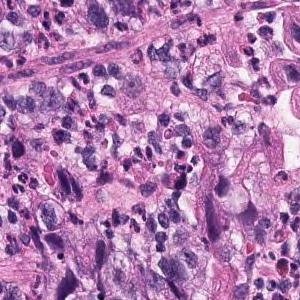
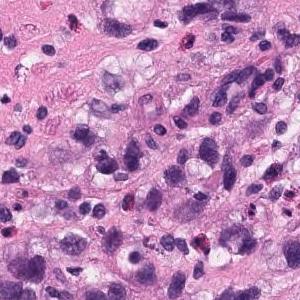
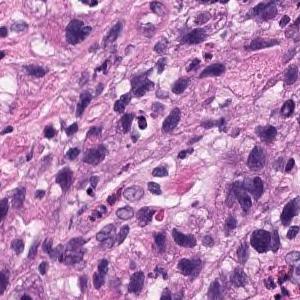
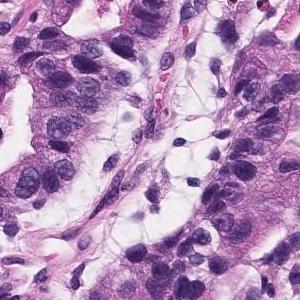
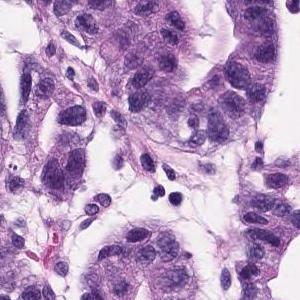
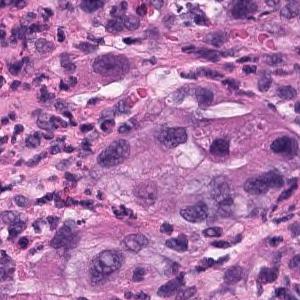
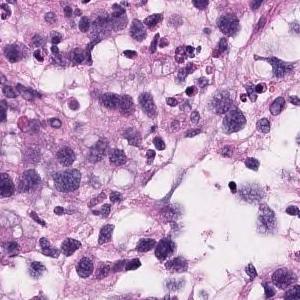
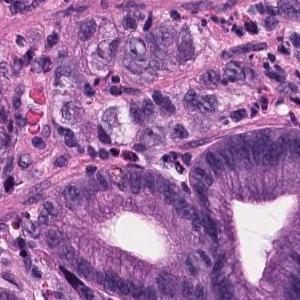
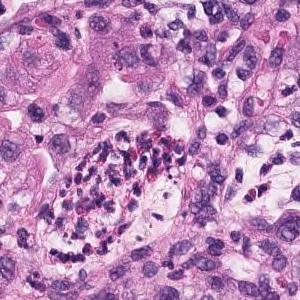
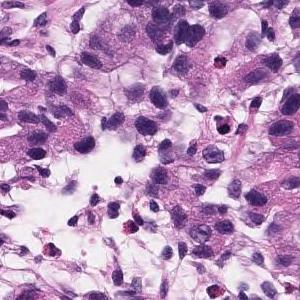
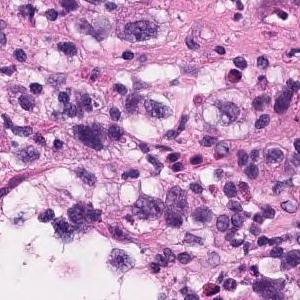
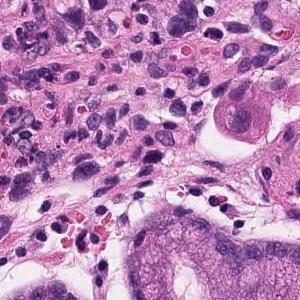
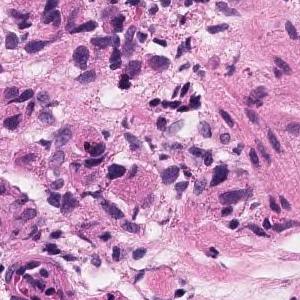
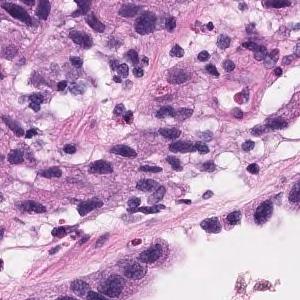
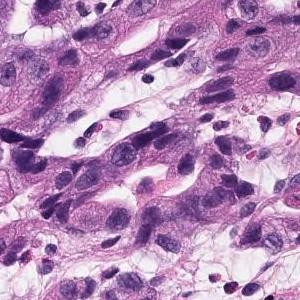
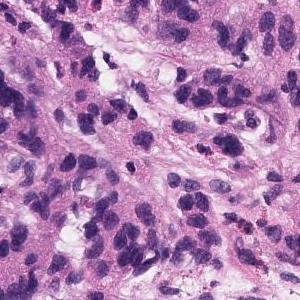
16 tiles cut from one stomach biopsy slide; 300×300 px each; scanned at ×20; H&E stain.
The pathologist's report on the biopsy slide these tiles were taken from. What the report and the diagnosis say applies to the whole slide; these tiles may miss some of the features named and may include tissue that is not tumor.
Atypical l cells with atypical nuclei forming diffuse or small irregular atypical ducts and growing. Moderately to poorly differentiated adenocarcinoma (poorly differentiated adenocarcinoma, solid type, moderately differentiated tubular adenocarcinoma)
Histologic type: Moderately to poorly differentiated adenocarcinoma.
The solid type named here is a Japanese Classification of Gastric Carcinoma category; WHO 2019 calls it tubular adenocarcinoma, poorly differentiated.
